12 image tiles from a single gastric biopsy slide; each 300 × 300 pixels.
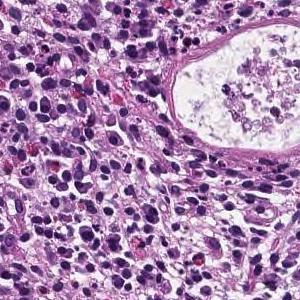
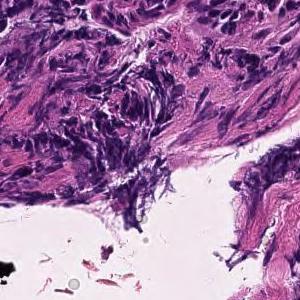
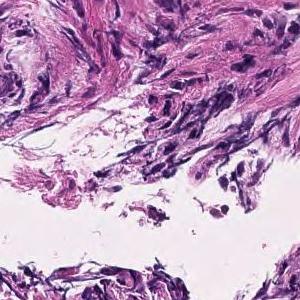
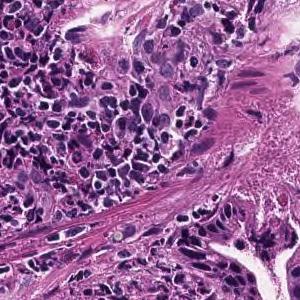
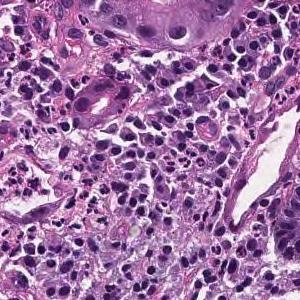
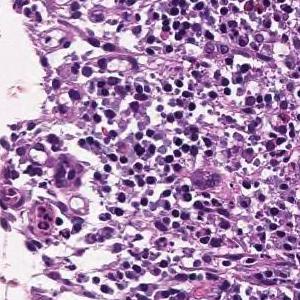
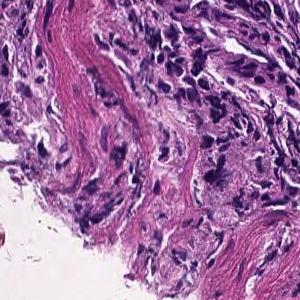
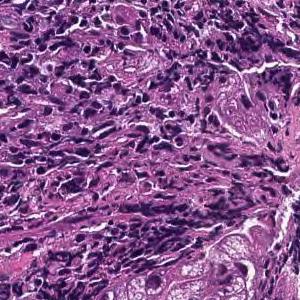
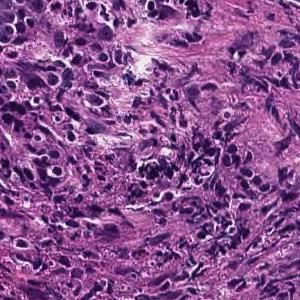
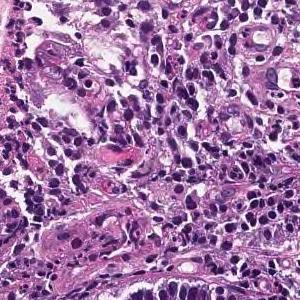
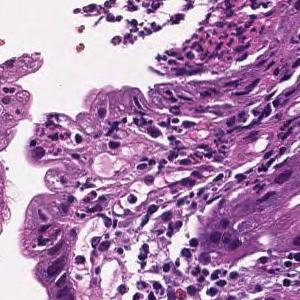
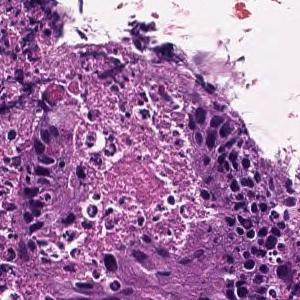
Diagnostic report for the slide these tiles come from. The report and the diagnosis describe the slide as a whole, so these tiles may not show every feature named and may include non-tumor tissue.
On the superficial epithelium, tumor tissue consisting of large, irregular glandular ducts partially fused and infiltrated is observed. Well to moderately differentiated tubular adenocarcinoma (well differentiated tubular adenocarcinoma, moderately differentiated tubular adenocarcinoma)
Histological subtype: Well to moderately differentiated tubular adenocarcinoma.
